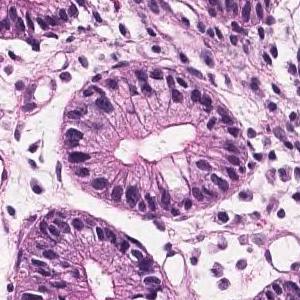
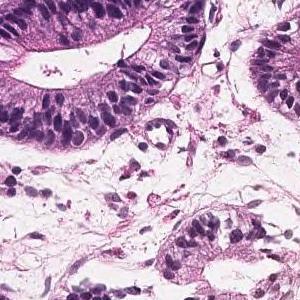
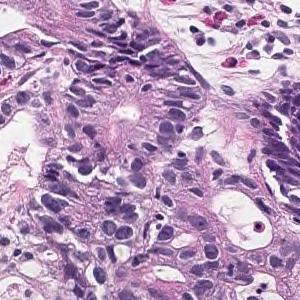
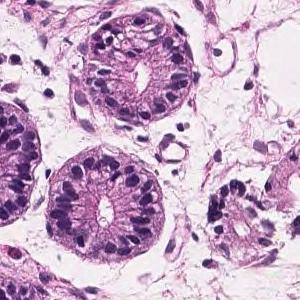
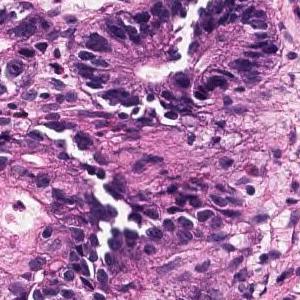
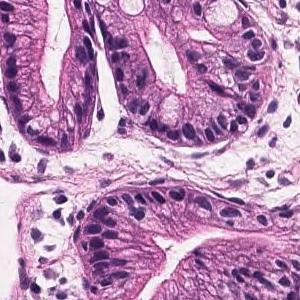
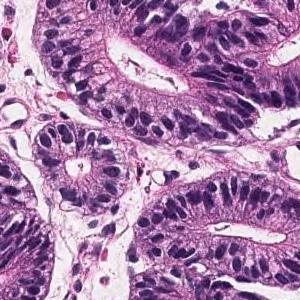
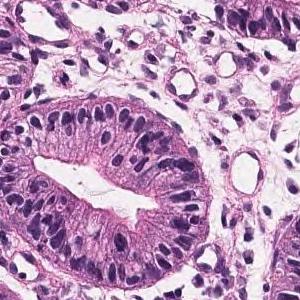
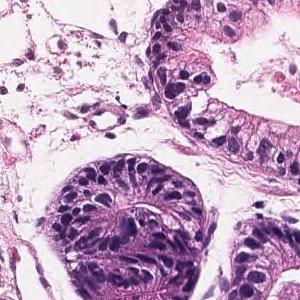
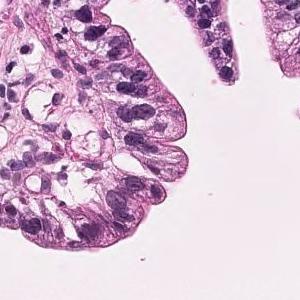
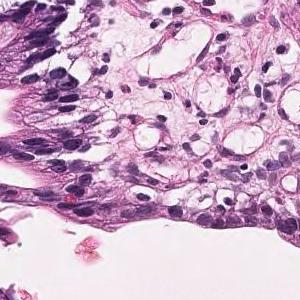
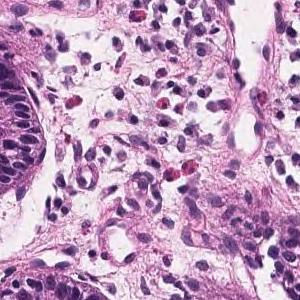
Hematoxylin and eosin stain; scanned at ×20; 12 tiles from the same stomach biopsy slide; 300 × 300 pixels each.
Pathology report for the biopsy slide these tiles were cut from. The report and the diagnosis describe the slide as a whole, so these tiles may not show every feature named and may include non-tumor tissue.
Tumor tissue in which medium to small irregular ducts infiltrate and proliferate in the submucosa can be seen in the epithelium. Well differentiated tubular adenocarcinoma
